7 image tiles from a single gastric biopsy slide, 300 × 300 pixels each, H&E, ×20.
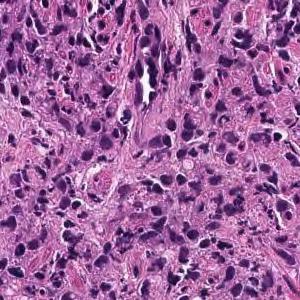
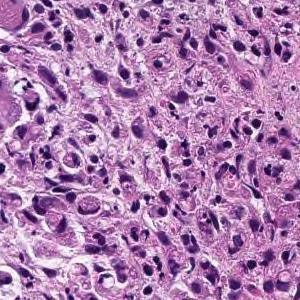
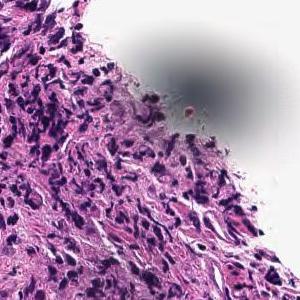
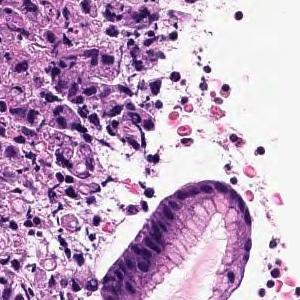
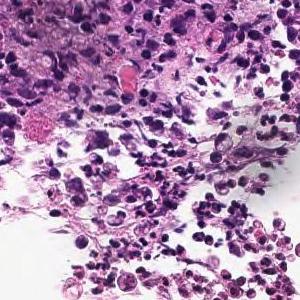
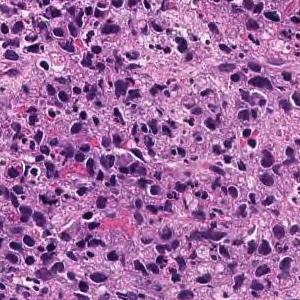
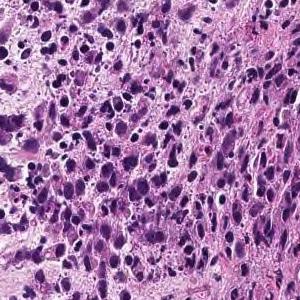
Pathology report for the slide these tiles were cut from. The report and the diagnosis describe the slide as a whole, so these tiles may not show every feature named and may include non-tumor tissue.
Large sheet-like or diffusely infiltrating tumor tissue is found in the superficial epithelium. Poorly differentiated adenocarcinoma, solid-type
Histologic type: Poorly differentiated adenocarcinoma, solid type, a category of the Japanese Classification of Gastric Carcinoma; in the WHO 2019 classification it is tubular adenocarcinoma, poorly differentiated.
